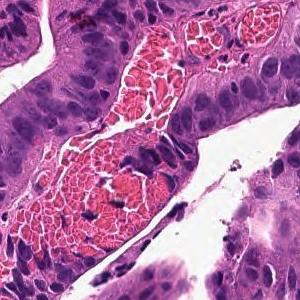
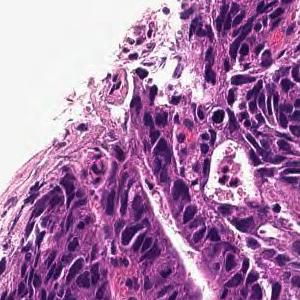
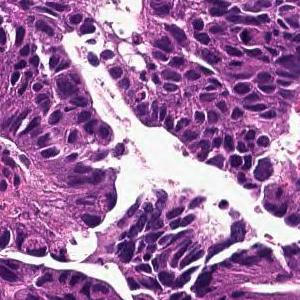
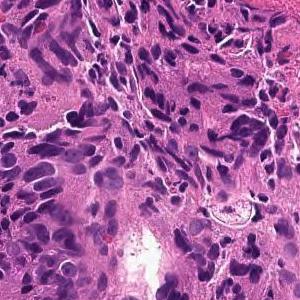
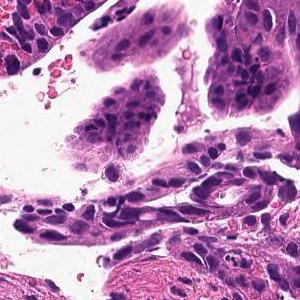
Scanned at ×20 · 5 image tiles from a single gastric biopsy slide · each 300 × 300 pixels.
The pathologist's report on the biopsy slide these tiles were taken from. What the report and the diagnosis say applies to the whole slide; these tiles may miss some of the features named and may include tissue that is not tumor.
From the superficial epithelium to the muscularis mucosae, tumor tissue consisting of medium-sized and irregular glandular ducts infiltrating is observed. Well differentiated tubular adenocarcinoma
